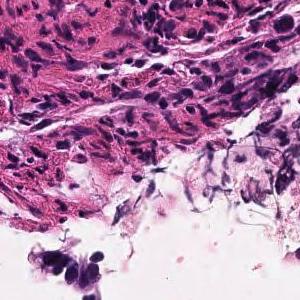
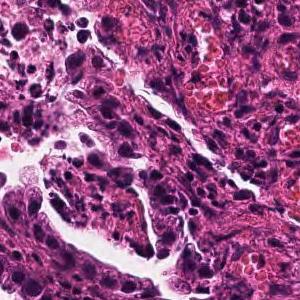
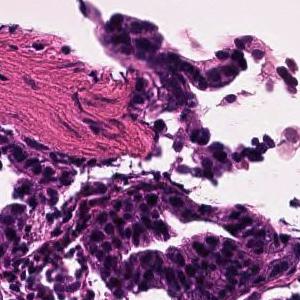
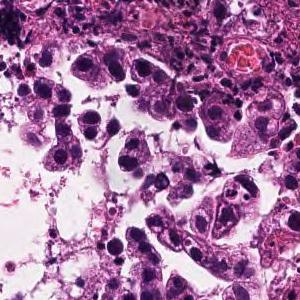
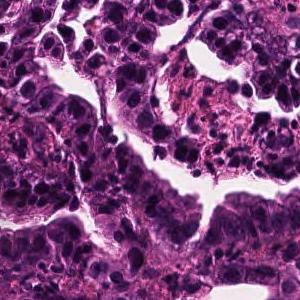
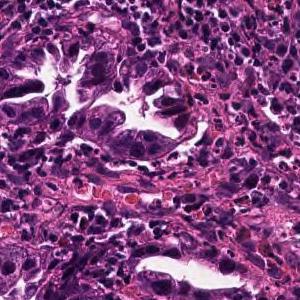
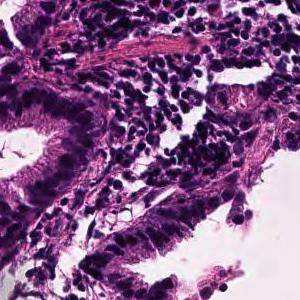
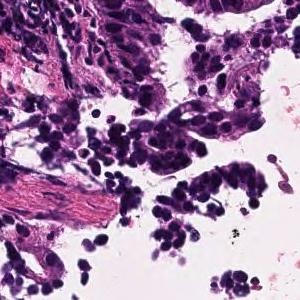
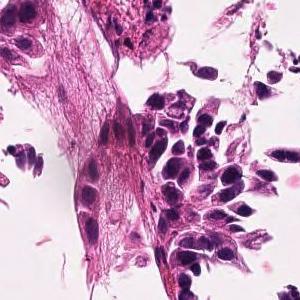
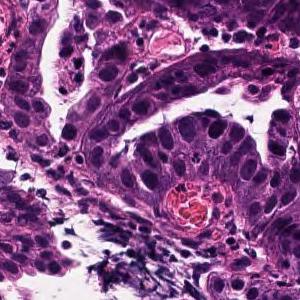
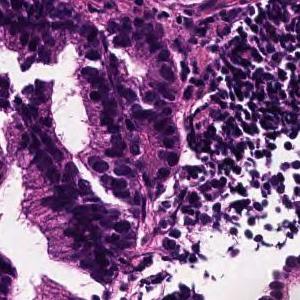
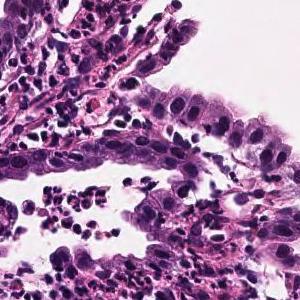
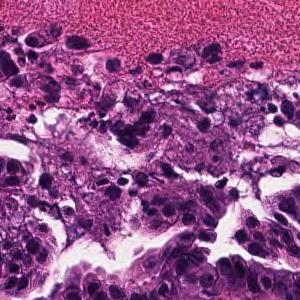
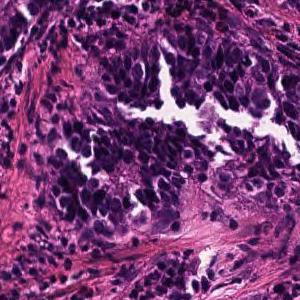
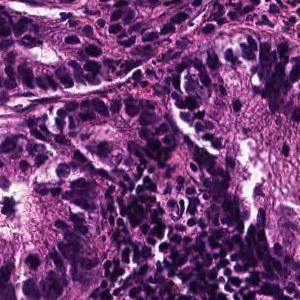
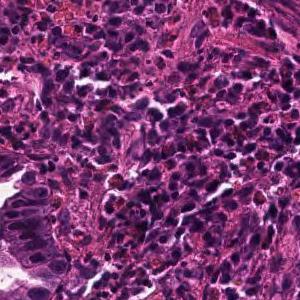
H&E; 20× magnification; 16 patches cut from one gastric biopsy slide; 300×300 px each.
The pathologist's report on the biopsy slide these tiles were taken from. The findings and the diagnosis refer to the entire slide; these tiles show only part of it, possibly with non-tumor tissue, and may not show every feature named.
Tumor tissue consisting of large papillary structures is found in the superficial epithelium. Papillary adenocarcinoma.
